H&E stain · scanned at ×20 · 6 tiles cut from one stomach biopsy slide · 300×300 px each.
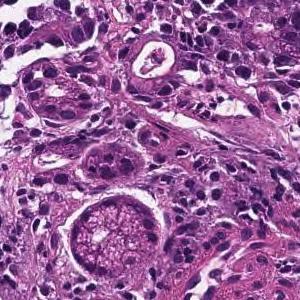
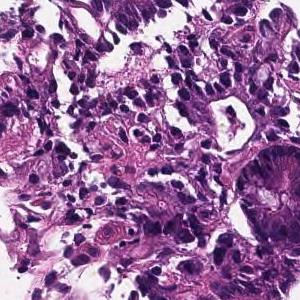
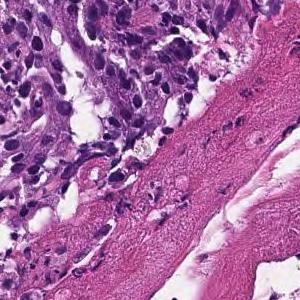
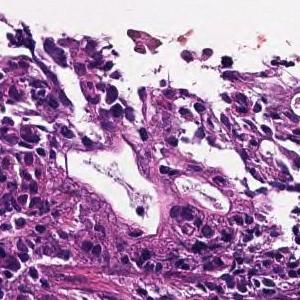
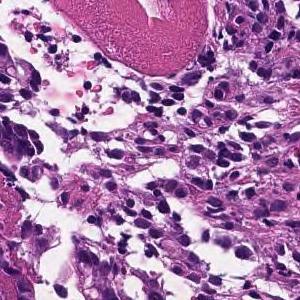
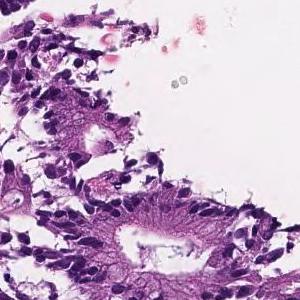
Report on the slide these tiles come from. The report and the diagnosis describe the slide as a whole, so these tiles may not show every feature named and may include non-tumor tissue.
In the superficial epithelium, tumor tissue that invades by forming medium-sized to small, irregular ducts is observed. moderately differentiated tubular adenocarcinoma.
